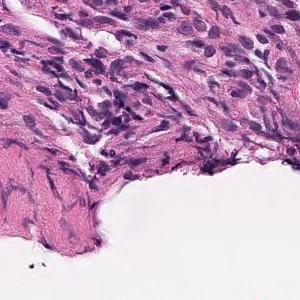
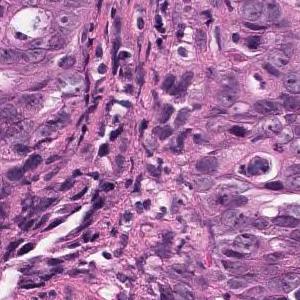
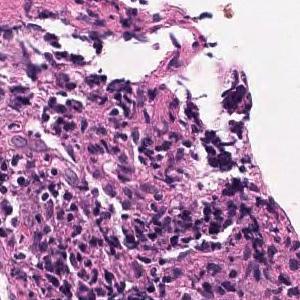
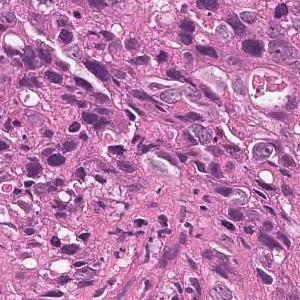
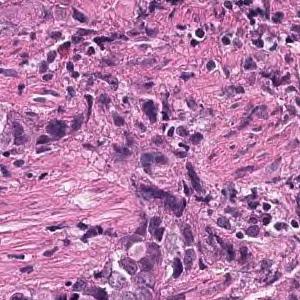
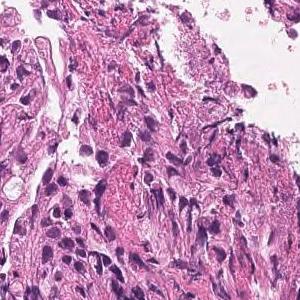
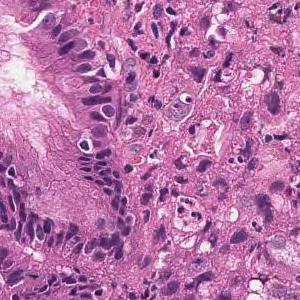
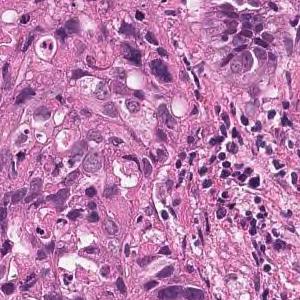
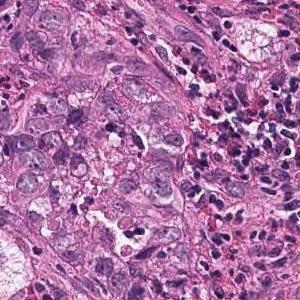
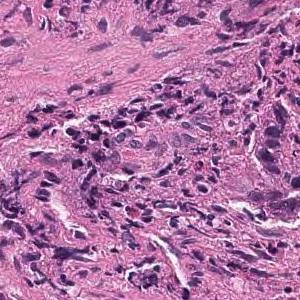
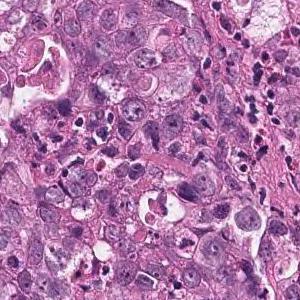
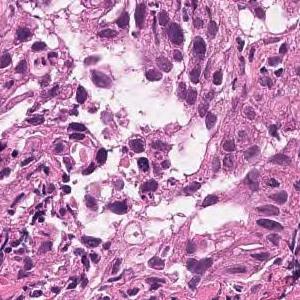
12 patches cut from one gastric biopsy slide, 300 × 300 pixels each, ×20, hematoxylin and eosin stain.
Report on the slide these tiles come from. The report and the diagnosis cover the entire slide, so not every feature they name need be visible here, and some tissue shown may not be tumor.
Tumor tissue that infiltrates and proliferates with alveolar or cord-like structures with small glandular cavities in the superficial to submucosal layers is observed. moderately differentiated tubular adenocarcinoma
